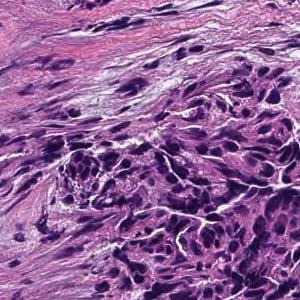
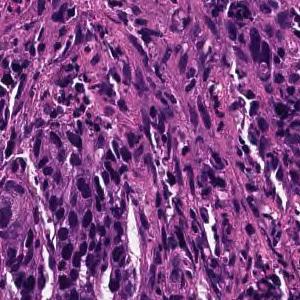
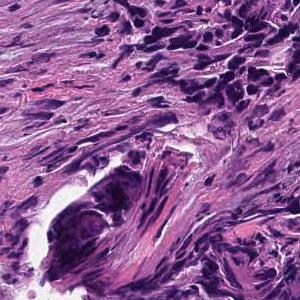
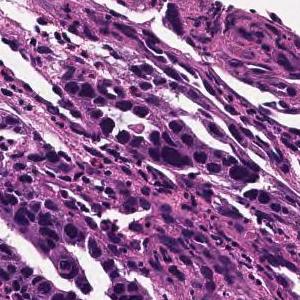
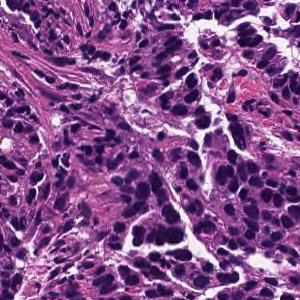
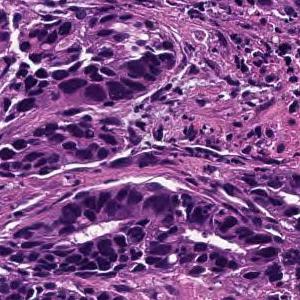
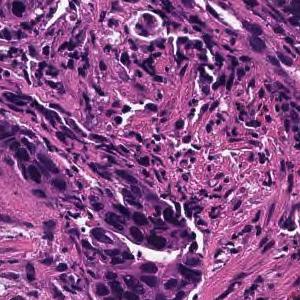
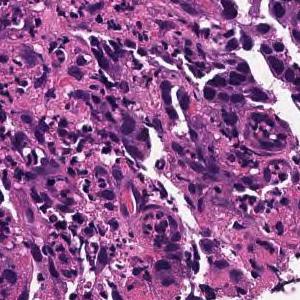
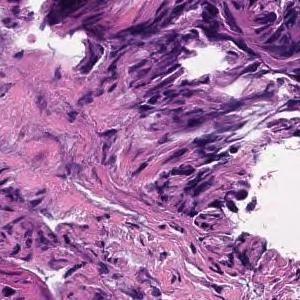
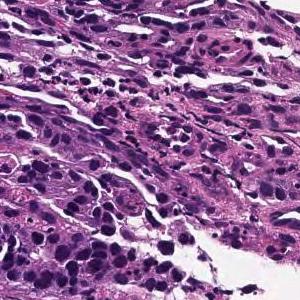
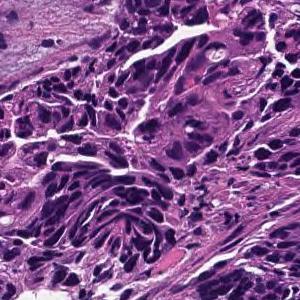
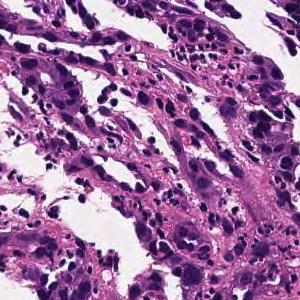
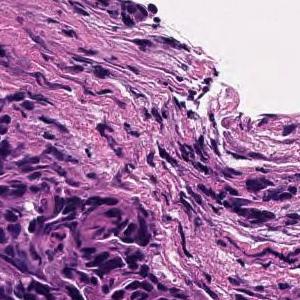
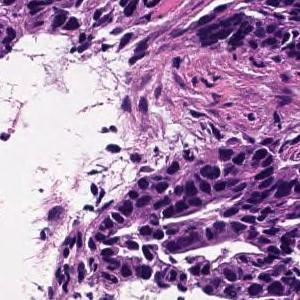
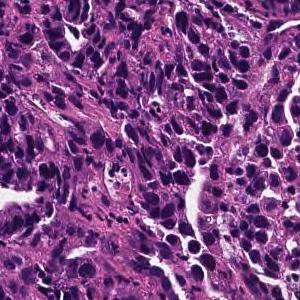
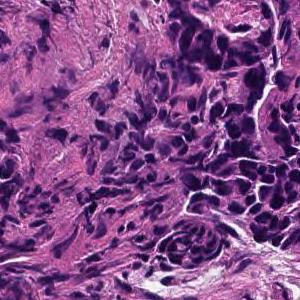
16 tiles from the same stomach biopsy slide; ×20; hematoxylin and eosin stain.
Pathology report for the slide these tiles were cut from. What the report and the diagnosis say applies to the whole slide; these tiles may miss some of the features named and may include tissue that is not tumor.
In the superficial epithelium, tumor tissue that invades by forming medium-sized to small, irregular ducts is observed. moderately differentiated tubular adenocarcinoma.
